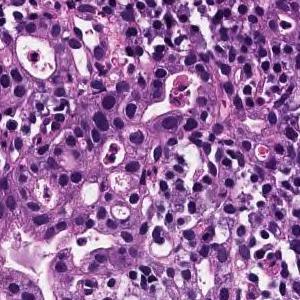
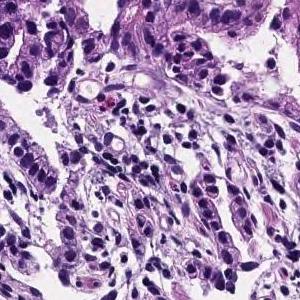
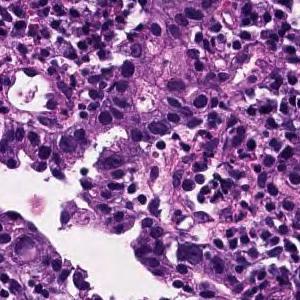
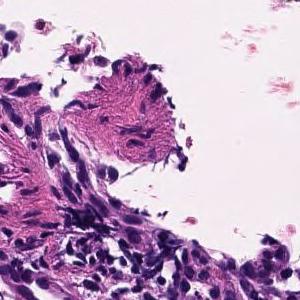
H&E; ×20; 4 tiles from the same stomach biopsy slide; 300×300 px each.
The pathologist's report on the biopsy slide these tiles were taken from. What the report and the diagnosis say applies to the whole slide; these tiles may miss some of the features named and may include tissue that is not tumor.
Medium to small, irregular glandular ducts are formed in the superficial epithelium, and in some cases, the glandular ducts are fused to show solid alveolar lesions and infiltrating tumor tissue is observed. Moderately to poorly differentiated adenocarcinoma.
